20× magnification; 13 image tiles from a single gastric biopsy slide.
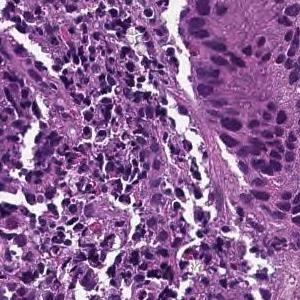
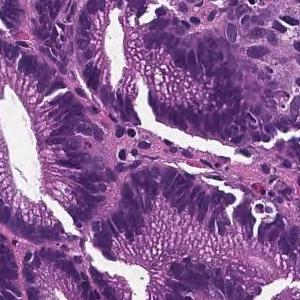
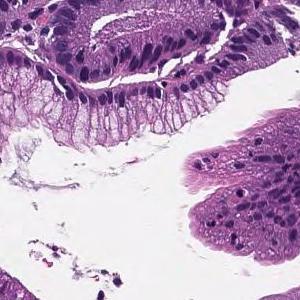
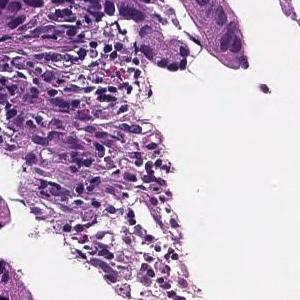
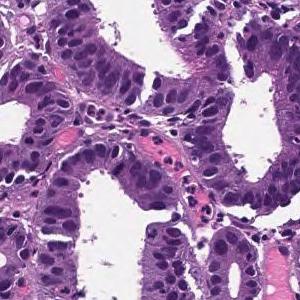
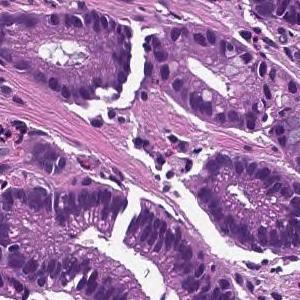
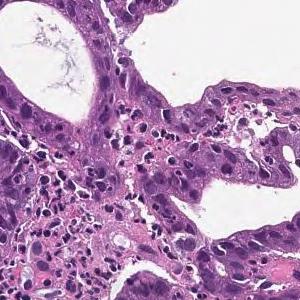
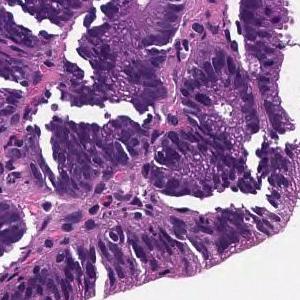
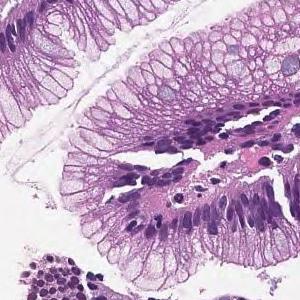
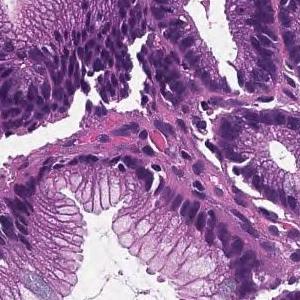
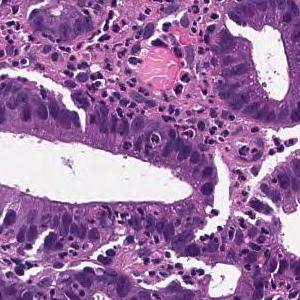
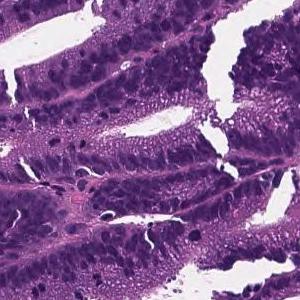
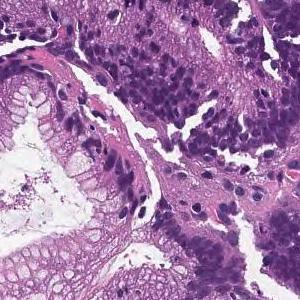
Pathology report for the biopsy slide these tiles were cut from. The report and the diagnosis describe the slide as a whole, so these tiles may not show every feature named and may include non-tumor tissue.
From the superficial epithelium to the muscularis mucosae, tumor tissue consisting of medium-sized and irregular glandular ducts infiltrating is observed. Well differentiated tubular adenocarcinoma
